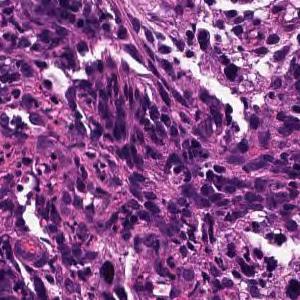
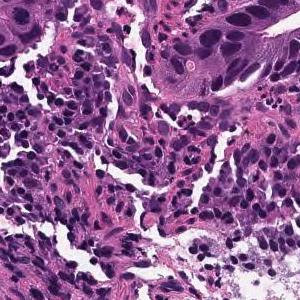
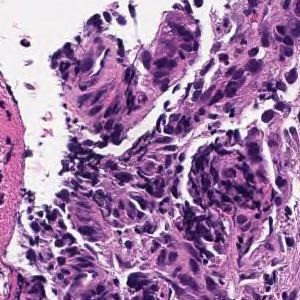
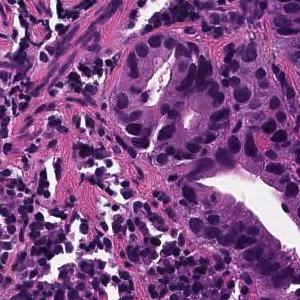
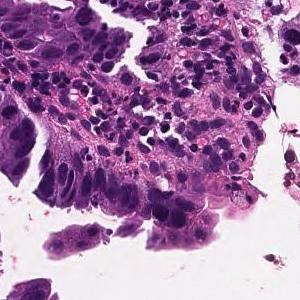
5 image tiles from a single gastric biopsy slide · H&E · 20× magnification.
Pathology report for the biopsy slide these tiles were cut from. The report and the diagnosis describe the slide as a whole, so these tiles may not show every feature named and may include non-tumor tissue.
On the superficial epithelium, tumor tissue consisting of large irregular glandular ducts partially fused and infiltrated is observed. Well to moderately differentiated tubular adenocarcinoma (well differentiated tubular adenocarcinoma, moderately differentiated tubular adenocarcinoma)
Histological subtype: Well to moderately differentiated tubular adenocarcinoma.
